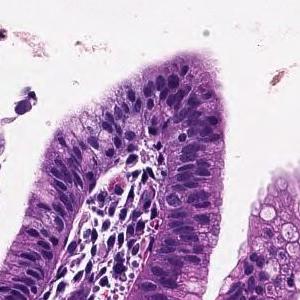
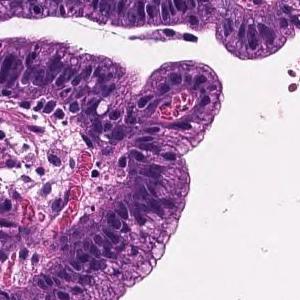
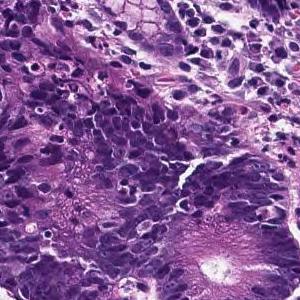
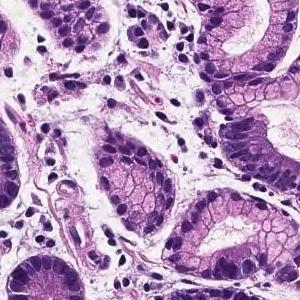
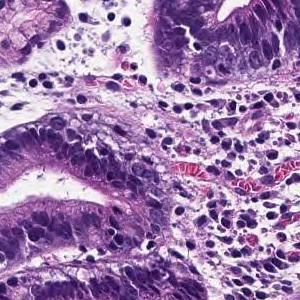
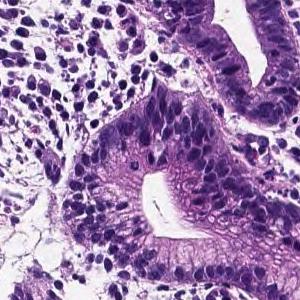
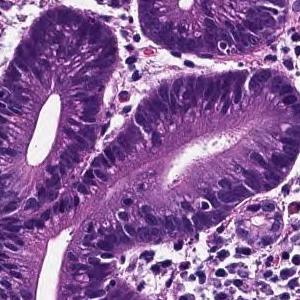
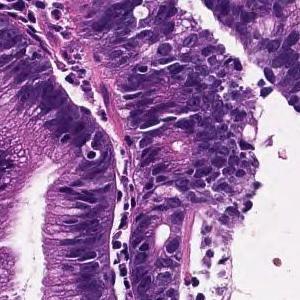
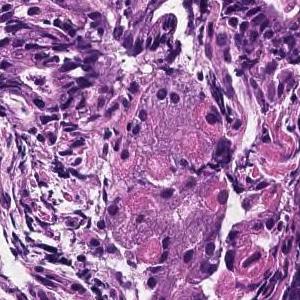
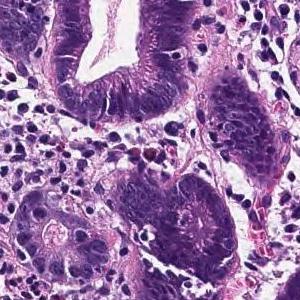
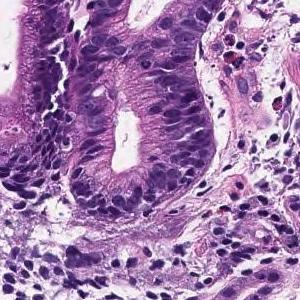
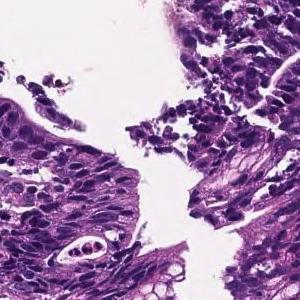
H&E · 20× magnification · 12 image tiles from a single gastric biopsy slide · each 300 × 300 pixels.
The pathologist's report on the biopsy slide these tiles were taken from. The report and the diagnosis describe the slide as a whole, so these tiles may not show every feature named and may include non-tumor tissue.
From the superficial epithelium to the muscularis mucosae, tumor tissue consisting of medium-sized and irregular glandular ducts infiltrating is observed. Well differentiated tubular adenocarcinoma
